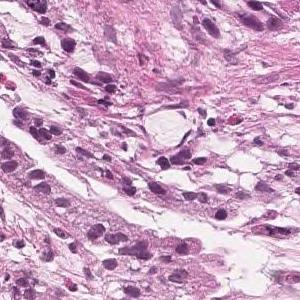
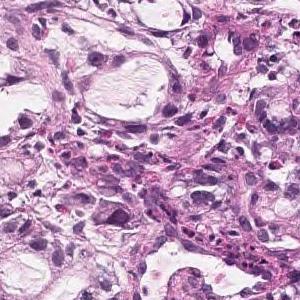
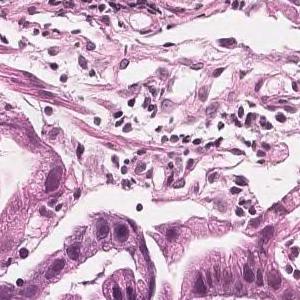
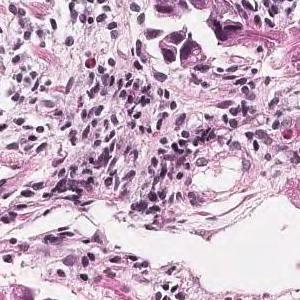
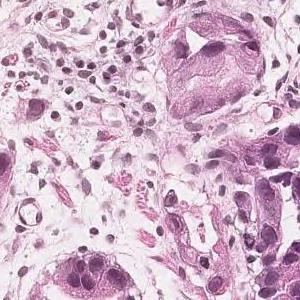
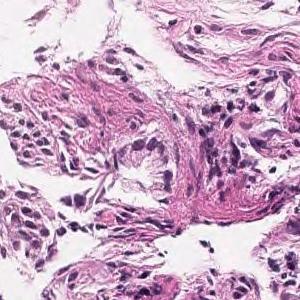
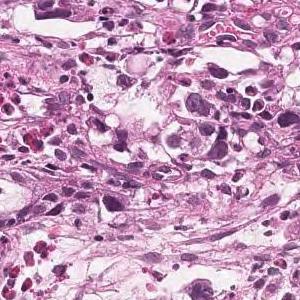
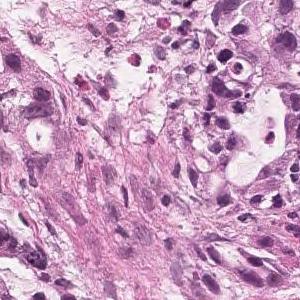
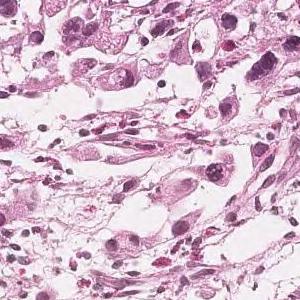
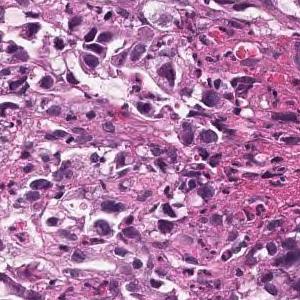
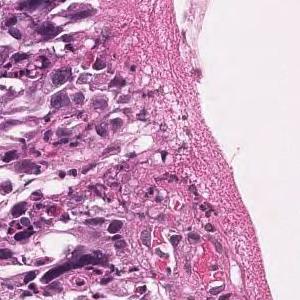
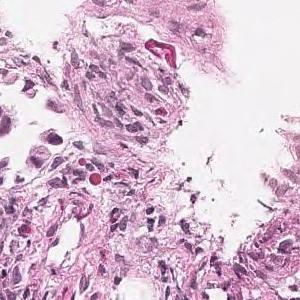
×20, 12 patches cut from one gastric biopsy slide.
Pathology report for the biopsy slide these tiles were cut from. The report describes the whole slide, diagnosis included: not every finding it names need appear in these tiles, which may also show non-tumor tissue.
Tumor tissue consisting of medium-sized, cord-like or irregular glandular infiltration is observed in the superficial epithelium. Poorly differentiated adenocarcinoma, non-solid type or moderately differentiated tubular adenocarcinoma
"Non-solid type" is a category of the Japanese Classification of Gastric Carcinoma.
